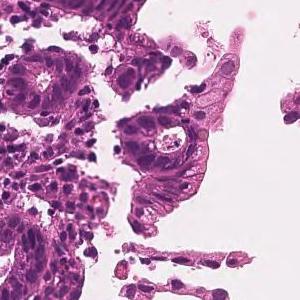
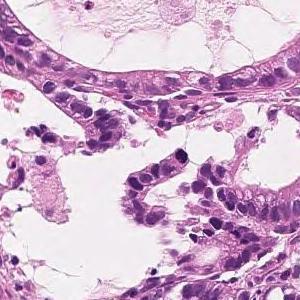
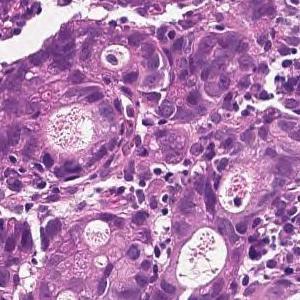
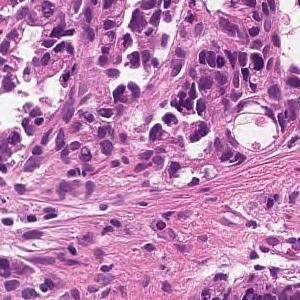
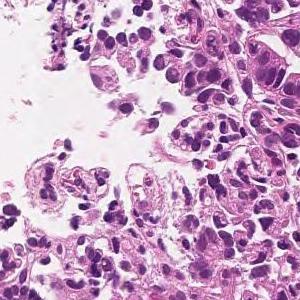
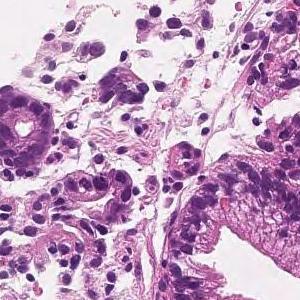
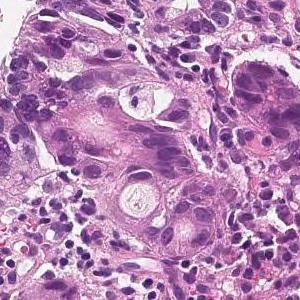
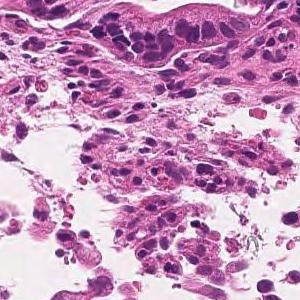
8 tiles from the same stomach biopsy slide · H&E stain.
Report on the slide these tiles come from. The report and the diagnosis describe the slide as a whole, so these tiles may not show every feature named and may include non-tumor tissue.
On the superficial epithelium, tumor tissue is found in which medium-sized irregular gland ducts fuse with each other and infiltrate. moderately differentiated tubular adenocarcinoma
